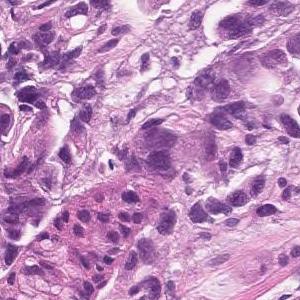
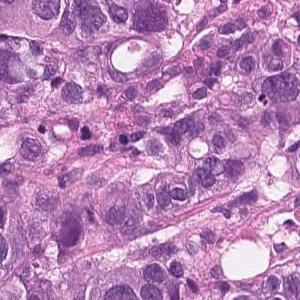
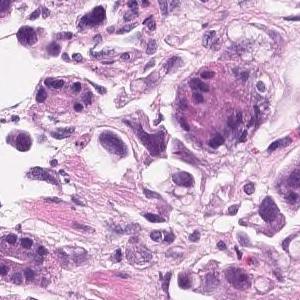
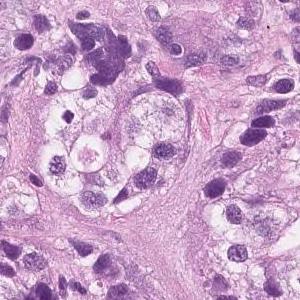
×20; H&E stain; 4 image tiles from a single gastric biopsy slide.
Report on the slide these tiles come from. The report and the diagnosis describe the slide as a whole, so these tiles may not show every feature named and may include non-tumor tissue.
Tumor tissue that infiltrates the epithelium in an alveolar manner. Poorly differentiated adenocarcinoma, solid-type
Tumor subtype: poorly differentiated adenocarcinoma, solid type, a category of the Japanese Classification of Gastric Carcinoma; in the WHO 2019 classification it is tubular adenocarcinoma, poorly differentiated.
